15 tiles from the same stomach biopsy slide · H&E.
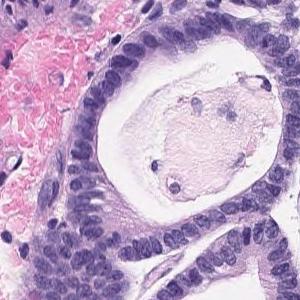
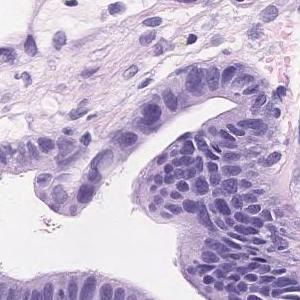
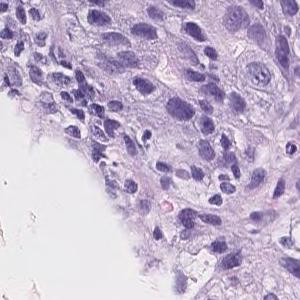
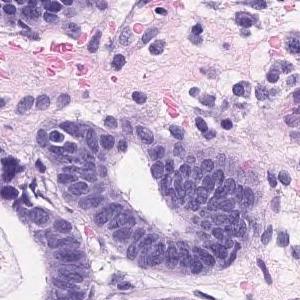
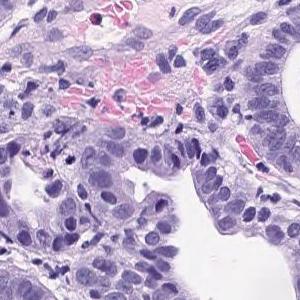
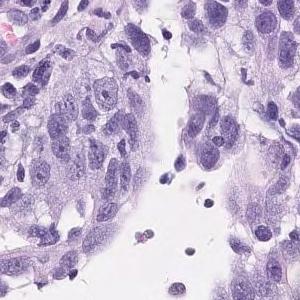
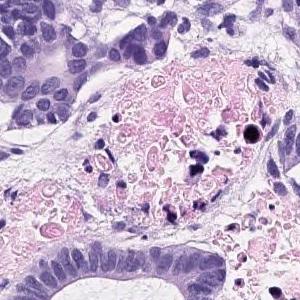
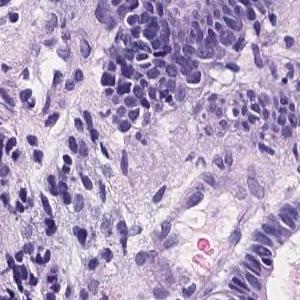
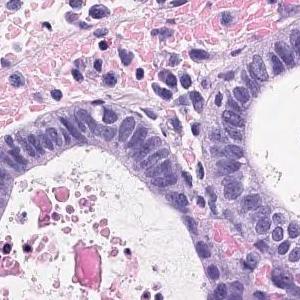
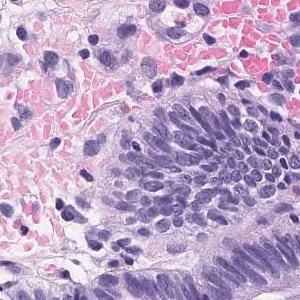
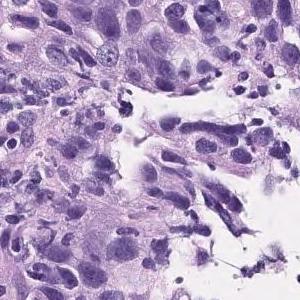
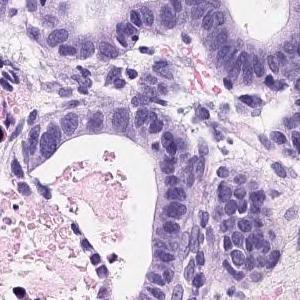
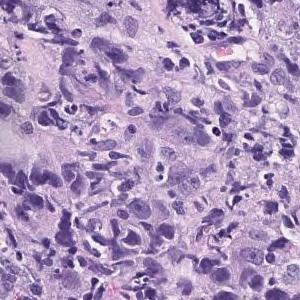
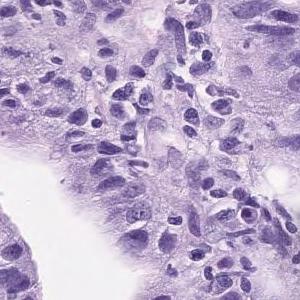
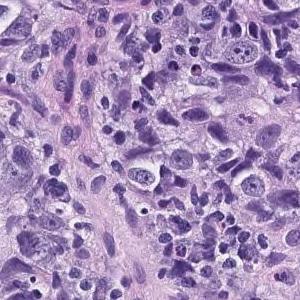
Report on the slide these tiles come from. The report describes the whole slide, diagnosis included: not every finding it names need appear in these tiles, which may also show non-tumor tissue.
The superficial epithelium shows a large sheet-like shape, and some tumor tissue infiltrates with small irregular ducts. Poorly differentiated adenocarcinoma, solid-type
Tumor subtype: poorly differentiated adenocarcinoma, solid type (Japanese Classification of Gastric Carcinoma). The WHO 2019 equivalent is tubular adenocarcinoma, poorly differentiated.
